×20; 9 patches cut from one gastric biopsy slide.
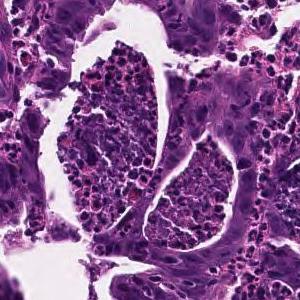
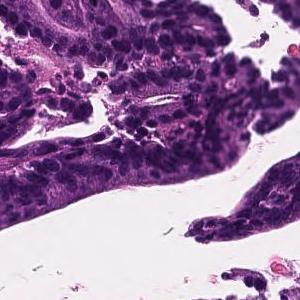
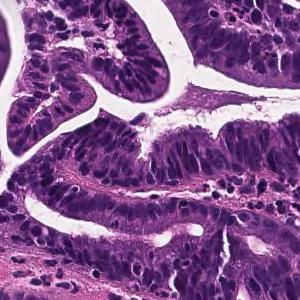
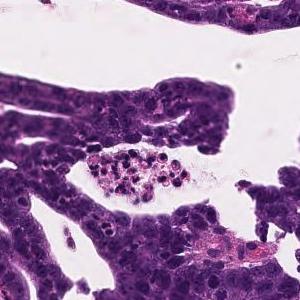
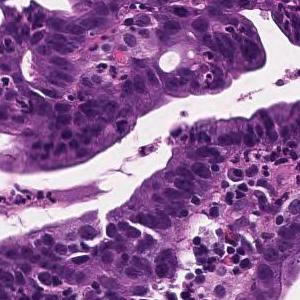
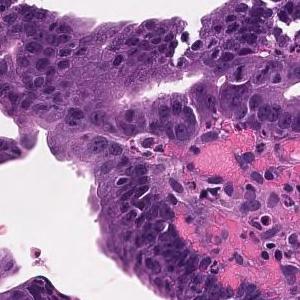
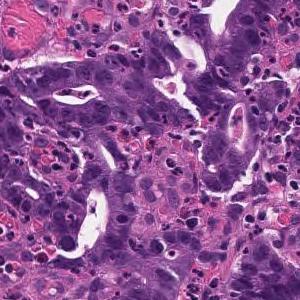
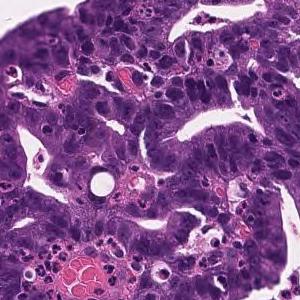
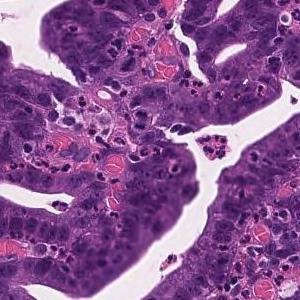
Pathology report for the biopsy slide these tiles were cut from. The report and the diagnosis cover the entire slide, so not every feature they name need be visible here, and some tissue shown may not be tumor.
Tumor cells are large, highly columnar, large club-shaped nuclei, and are associated with chromatin aggregation. Papillary adenocarcinoma.
